11 tiles cut from one stomach biopsy slide · 300×300 px each · scanned at ×20 · H&E stain.
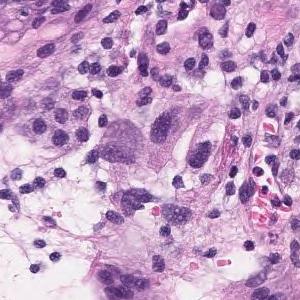
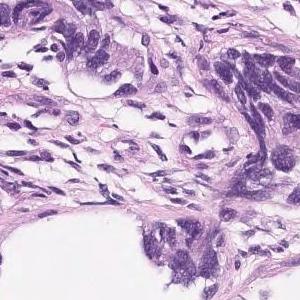
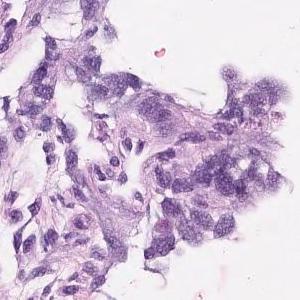
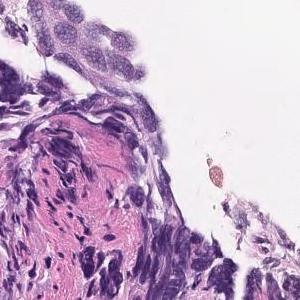
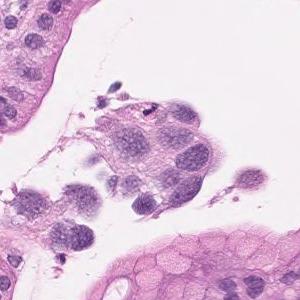
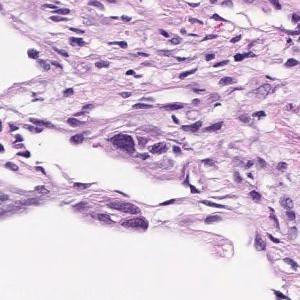
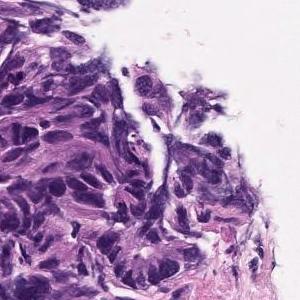
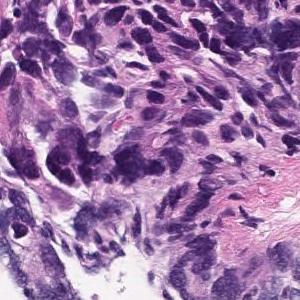
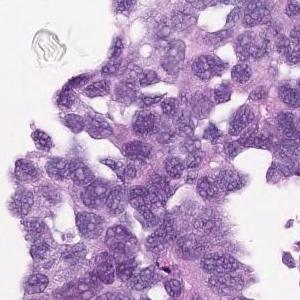
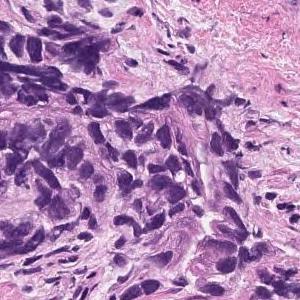
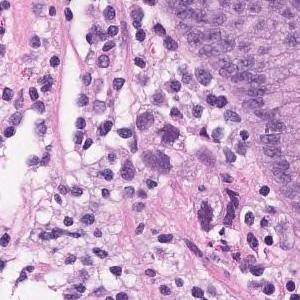
Pathology report for the slide these tiles were cut from. What the report and the diagnosis say applies to the whole slide; these tiles may miss some of the features named and may include tissue that is not tumor.
Atypical l cells with atypical nuclei under the mucosa growing in isolation and scattered. Moderately to poorly differentiated adenocarcinoma (moderately differentiated tubular adenocarcinoma poorly differentiated adenocarcinoma, solid type)
Histological subtype: Moderately to poorly differentiated adenocarcinoma.
"Solid type" is a category of the Japanese Classification of Gastric Carcinoma; in the WHO 2019 classification it is tubular adenocarcinoma, poorly differentiated.
